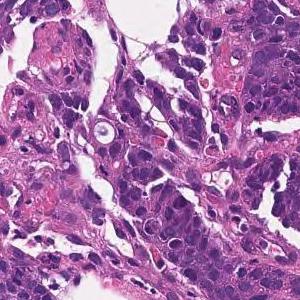
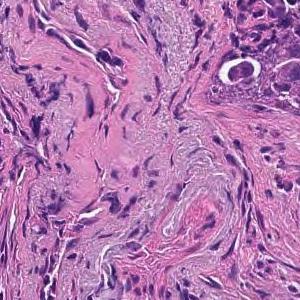
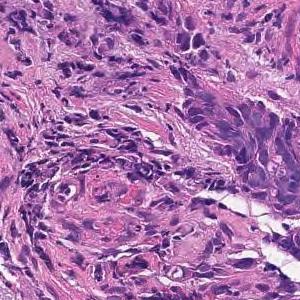
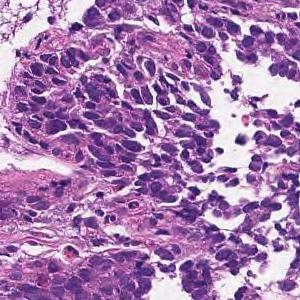
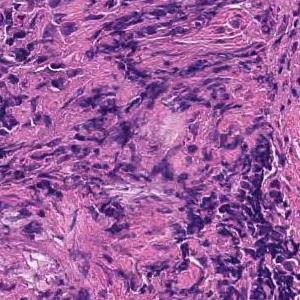
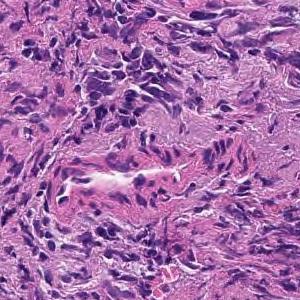
6 tiles from the same stomach biopsy slide, 300 × 300 pixels each, ×20, H&E.
Diagnostic report for the slide these tiles come from. The report describes the whole slide, diagnosis included: not every finding it names need appear in these tiles, which may also show non-tumor tissue.
Tumor tissue consisting of cord-like or small, irregular glandular ducts fused and infiltrated is observed in the superficial epithelium. Poorly differentiated adenocarcinoma, non-solid type
"Non-solid type" is a category of the Japanese Classification of Gastric Carcinoma.
